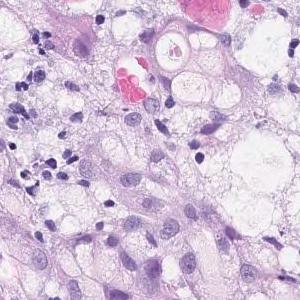
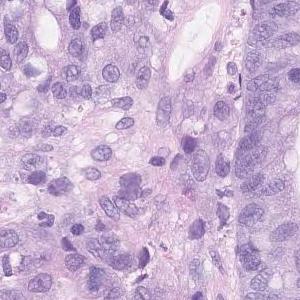
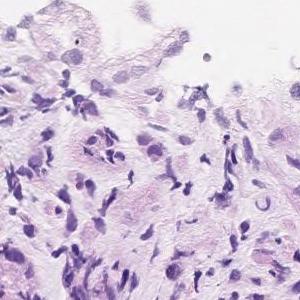
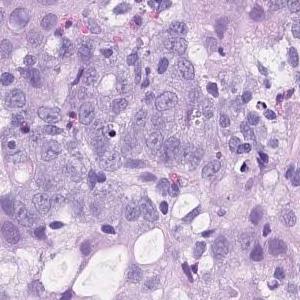
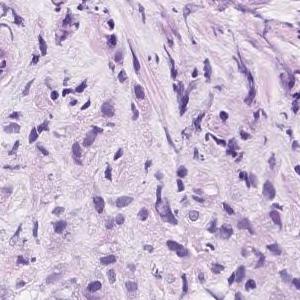
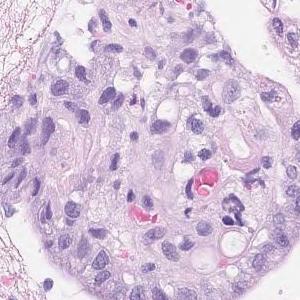
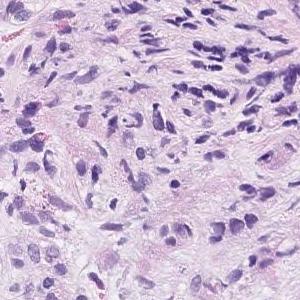
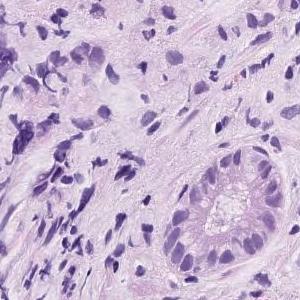
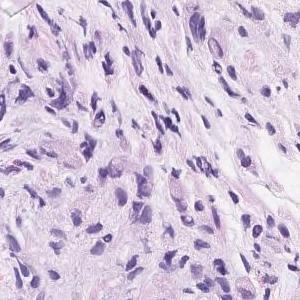
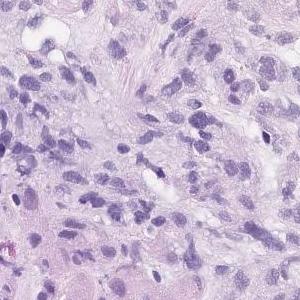
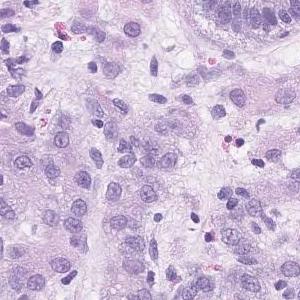
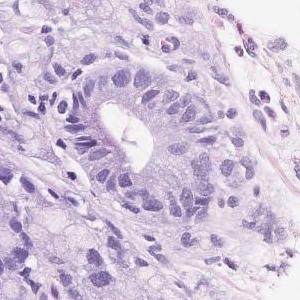
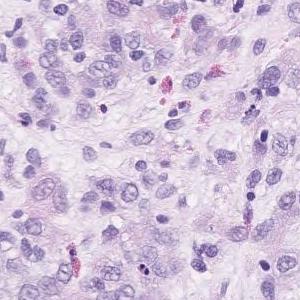
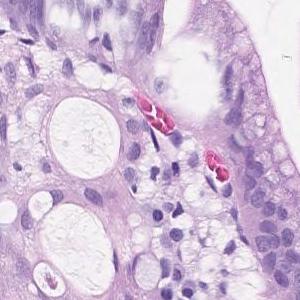
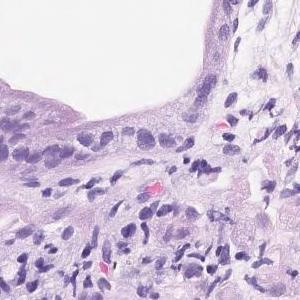
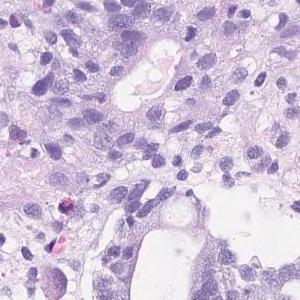
Hematoxylin and eosin stain · 20× magnification · 16 image tiles from a single gastric biopsy slide.
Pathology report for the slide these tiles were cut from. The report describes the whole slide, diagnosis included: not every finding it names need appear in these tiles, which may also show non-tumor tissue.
Group 5, Adenocarcinoma. Poorly differentiated adenocarcinoma, non-solid type
The non-solid type named here is a Japanese Classification of Gastric Carcinoma category.
